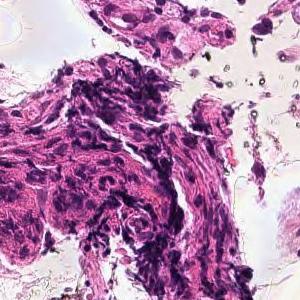
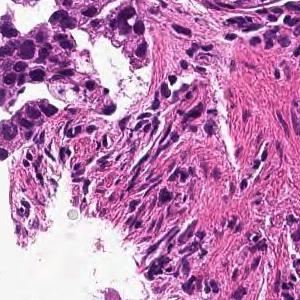
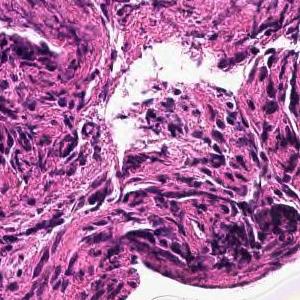
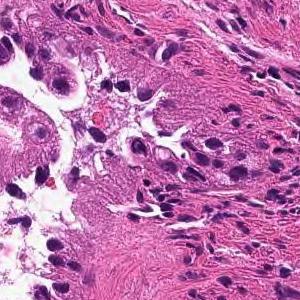
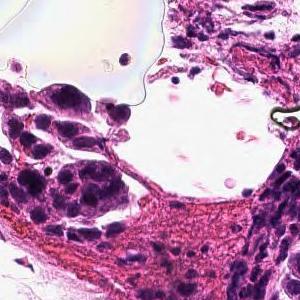
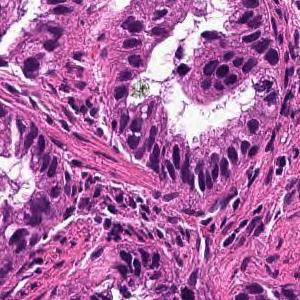
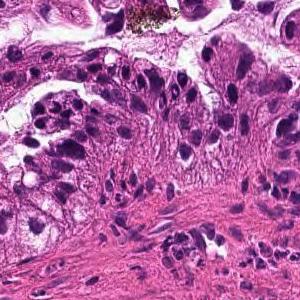
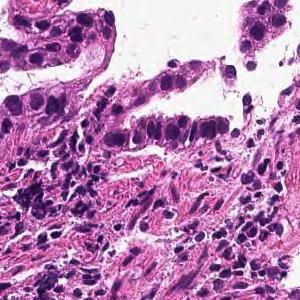
20× magnification; hematoxylin and eosin stain; 8 tiles cut from one stomach biopsy slide; each 300 × 300 pixels.
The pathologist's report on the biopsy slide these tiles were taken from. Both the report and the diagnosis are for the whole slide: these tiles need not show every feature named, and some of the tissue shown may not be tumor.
From the superficial epithelium to the muscularis mucosae, tumor tissue infiltrating by forming medium-sized irregular gland ducts is observed. Well differentiated tubular adenocarcinoma
